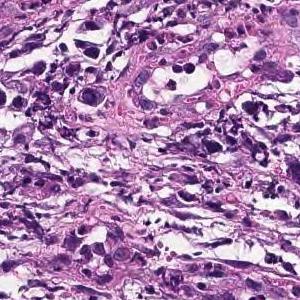
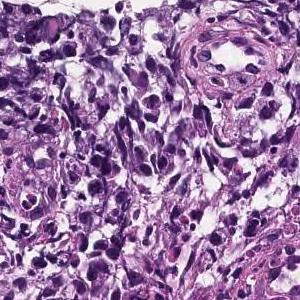
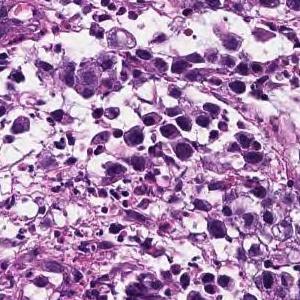
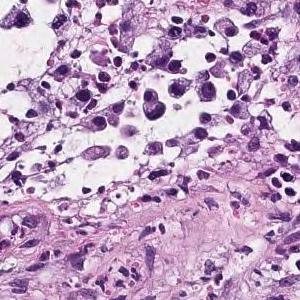
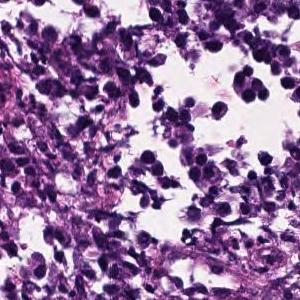
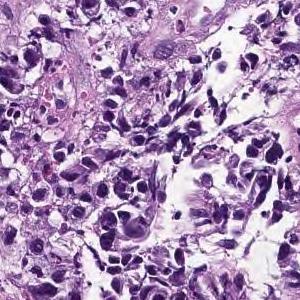
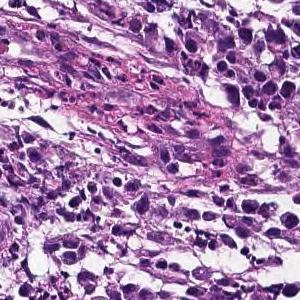
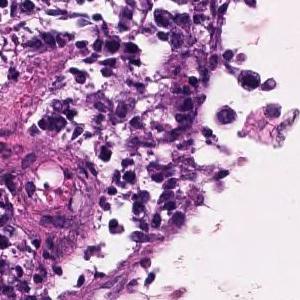
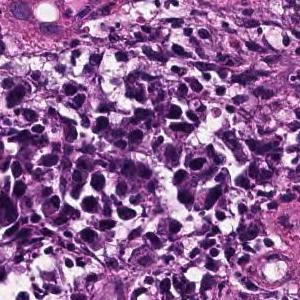
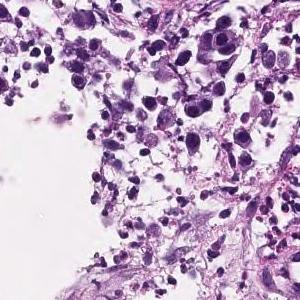
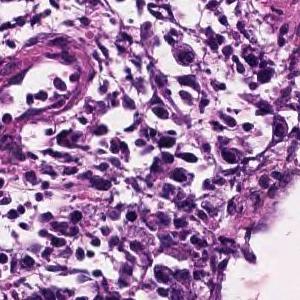
H&E stain, 20× magnification, 11 image tiles from a single gastric biopsy slide, each 300 × 300 pixels.
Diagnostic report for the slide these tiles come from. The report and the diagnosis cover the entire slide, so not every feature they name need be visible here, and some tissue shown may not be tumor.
The superficial epithelium shows a small alveolar shape, and some tumor tissues infiltrate with a cord-like structure. Poorly differentiated adenocarcinoma, solid-type
Histologic type: Poorly differentiated adenocarcinoma, solid type, a category of the Japanese Classification of Gastric Carcinoma; in the WHO 2019 classification it is tubular adenocarcinoma, poorly differentiated.
